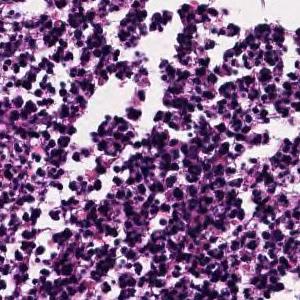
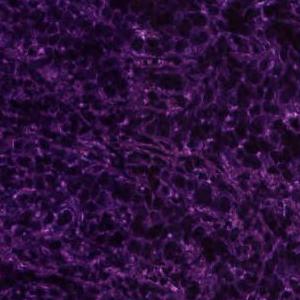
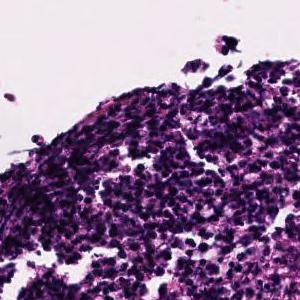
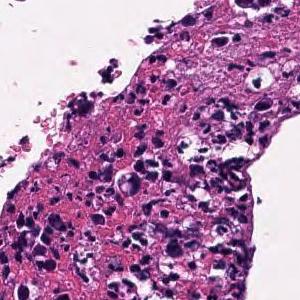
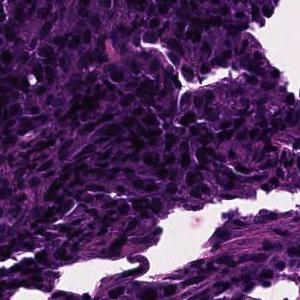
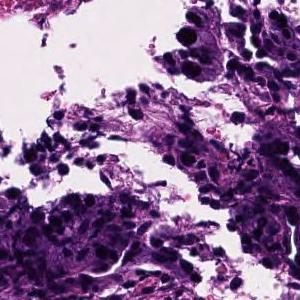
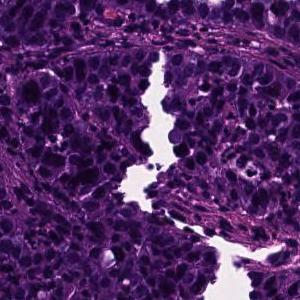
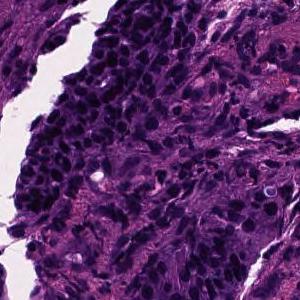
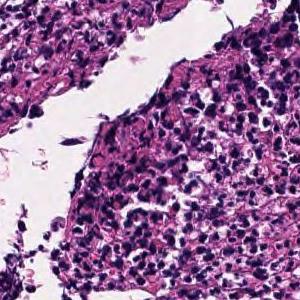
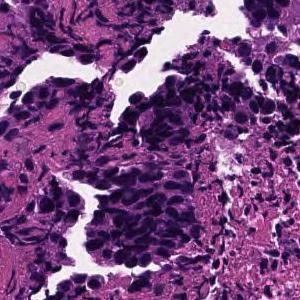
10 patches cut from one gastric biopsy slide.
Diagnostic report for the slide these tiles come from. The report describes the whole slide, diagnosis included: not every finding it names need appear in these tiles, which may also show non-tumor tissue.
In the superficial epithelium, tumor tissue that invades by forming medium-sized to small, irregular ducts is observed. moderately differentiated tubular adenocarcinoma.
